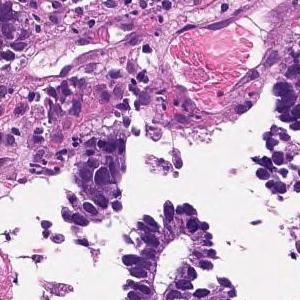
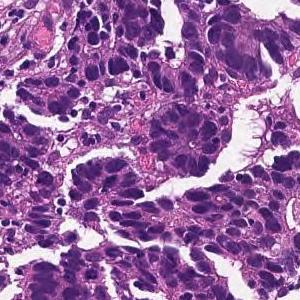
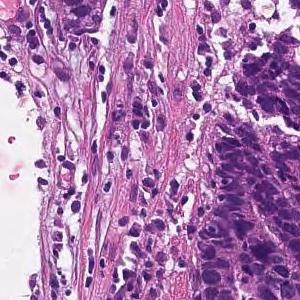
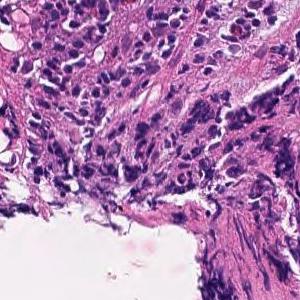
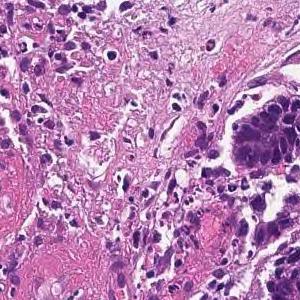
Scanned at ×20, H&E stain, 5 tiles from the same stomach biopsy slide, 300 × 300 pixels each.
Pathology report for the biopsy slide these tiles were cut from. The report and the diagnosis describe the slide as a whole, so these tiles may not show every feature named and may include non-tumor tissue.
In the superficial epithelium, tumor tissue that invades by forming medium-sized to small, irregular ducts is observed. Moderately differentiated adenocarcinoma (moderately differentiated tubular adenocarcinoma).
Histological subtype: Moderately differentiated tubular adenocarcinoma.
